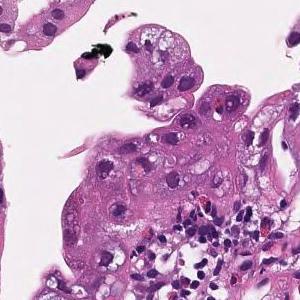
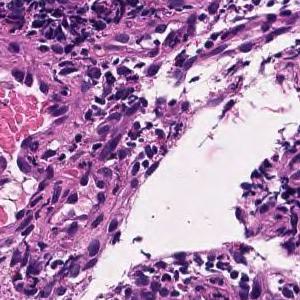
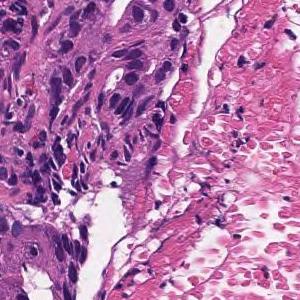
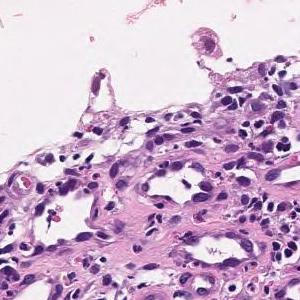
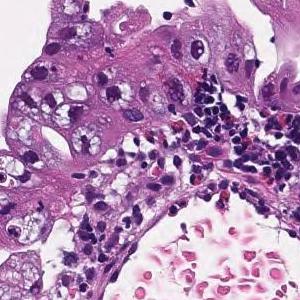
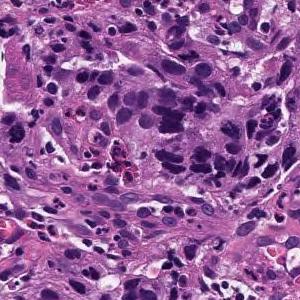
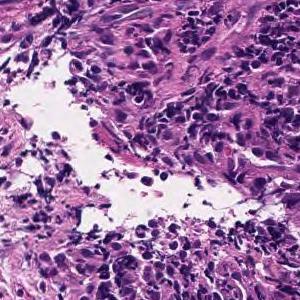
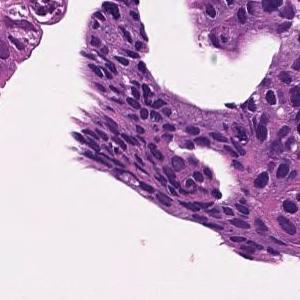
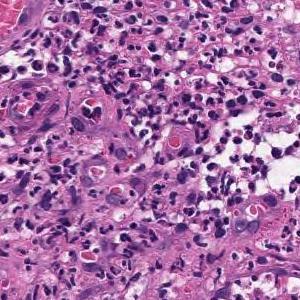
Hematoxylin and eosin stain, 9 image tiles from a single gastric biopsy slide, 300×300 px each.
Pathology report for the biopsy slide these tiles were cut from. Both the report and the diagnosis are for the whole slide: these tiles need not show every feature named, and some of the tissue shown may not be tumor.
In the superficial epithelium, tumor tissue that invades by forming medium-sized to small, irregular ducts is observed. moderately differentiated tubular adenocarcinoma.
